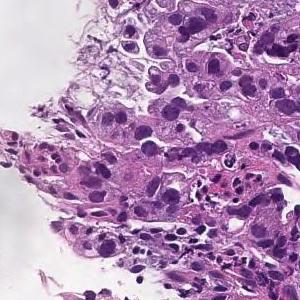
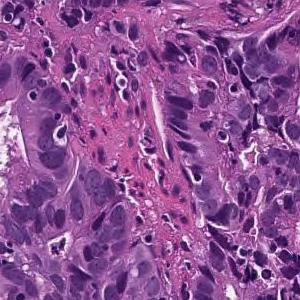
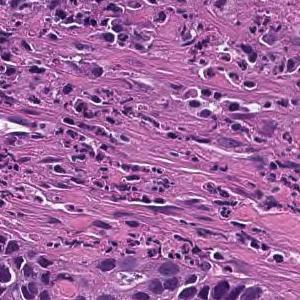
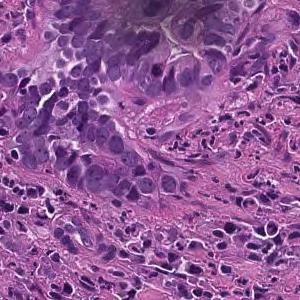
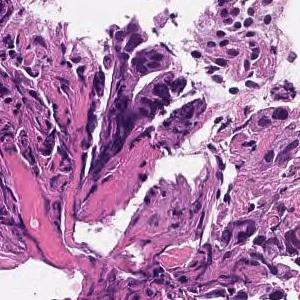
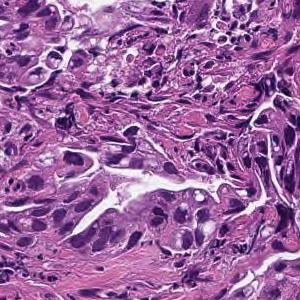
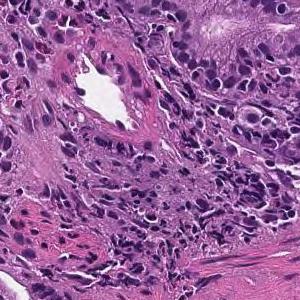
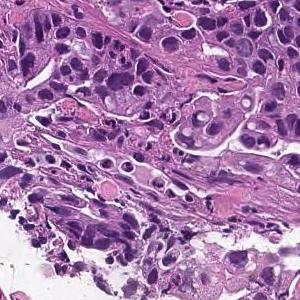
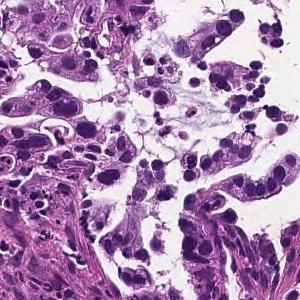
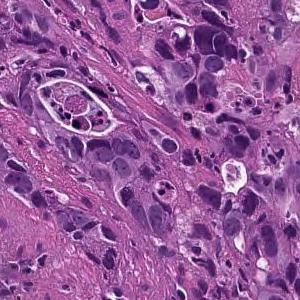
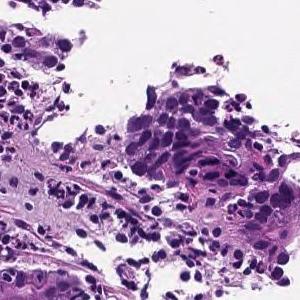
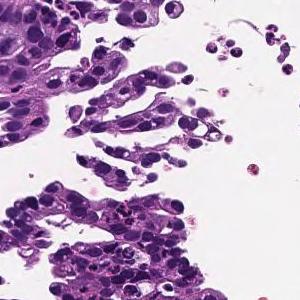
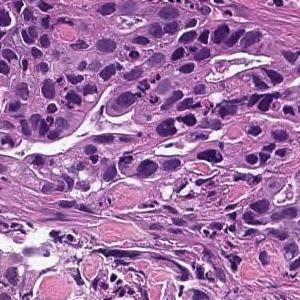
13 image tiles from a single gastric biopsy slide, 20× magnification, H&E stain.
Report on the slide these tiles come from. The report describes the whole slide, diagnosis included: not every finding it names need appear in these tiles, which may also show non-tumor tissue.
Tumor tissue consisting of medium-sized, cord-like or irregular glandular infiltration is observed in the superficial epithelium. Poorly differentiated adenocarcinoma, non-solid type or moderately differentiated tubular adenocarcinoma
Classified as moderately to poorly differentiated adenocarcinoma.
The term "non-solid type" comes from the Japanese Classification of Gastric Carcinoma.
